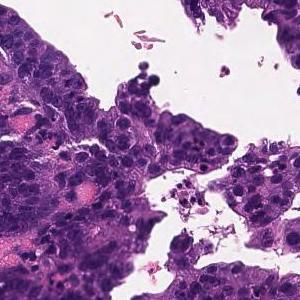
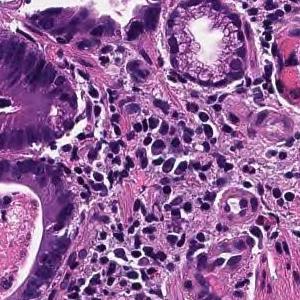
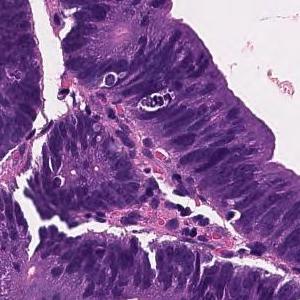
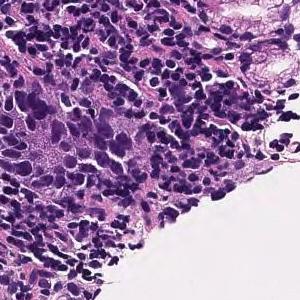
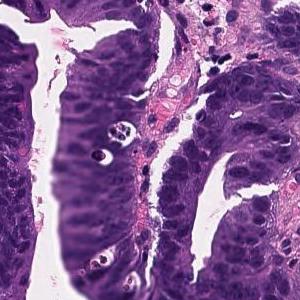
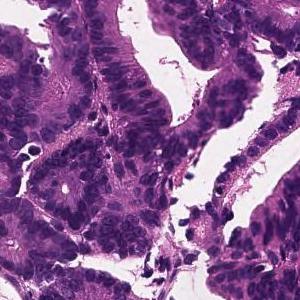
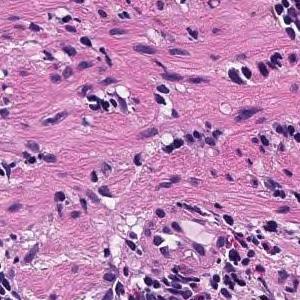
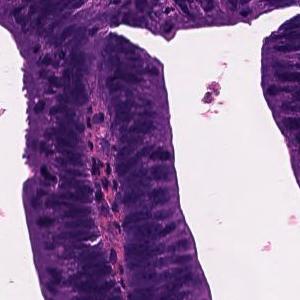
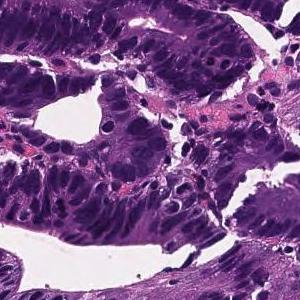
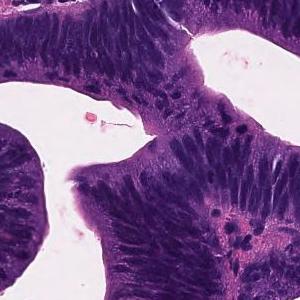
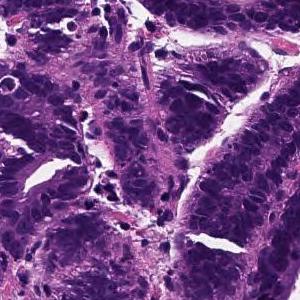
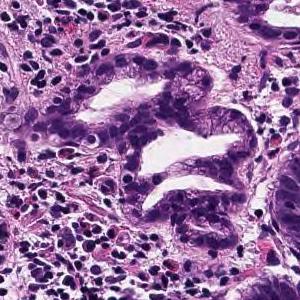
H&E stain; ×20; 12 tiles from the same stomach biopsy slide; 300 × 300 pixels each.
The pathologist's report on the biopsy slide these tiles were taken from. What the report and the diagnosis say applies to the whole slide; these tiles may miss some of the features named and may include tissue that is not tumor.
Tumor tissue consisting of large papillary structures is found in the superficial epithelium. Papillary adenocarcinoma.
